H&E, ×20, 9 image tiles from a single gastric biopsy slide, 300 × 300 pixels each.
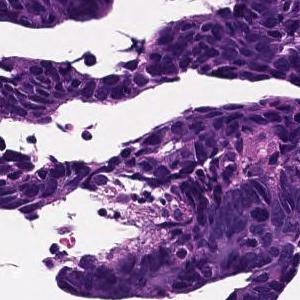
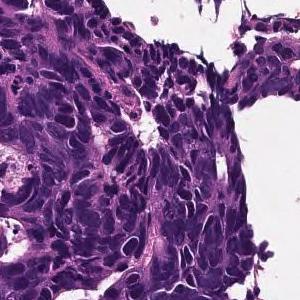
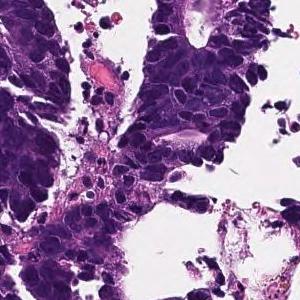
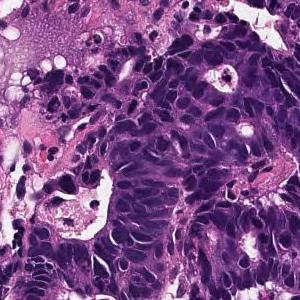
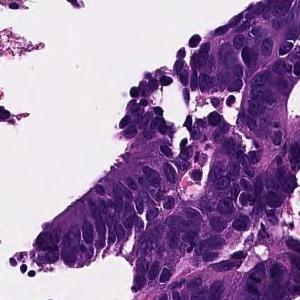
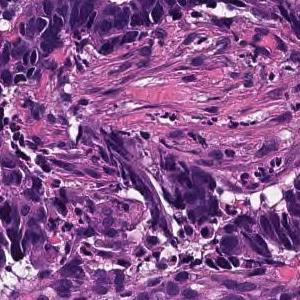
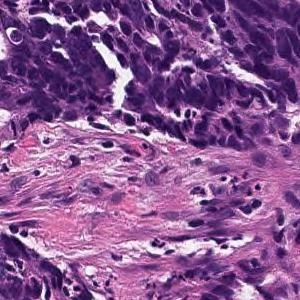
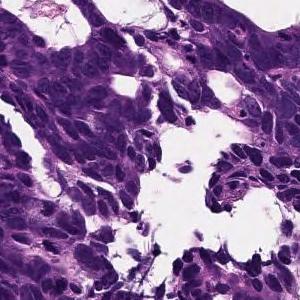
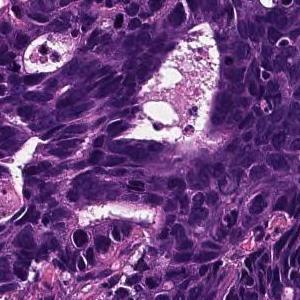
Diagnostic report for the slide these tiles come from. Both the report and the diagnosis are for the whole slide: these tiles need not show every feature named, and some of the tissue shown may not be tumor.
In the superficial epithelium, tumor tissue that invades by forming medium-sized to small, irregular ducts is observed. moderately differentiated tubular adenocarcinoma.
